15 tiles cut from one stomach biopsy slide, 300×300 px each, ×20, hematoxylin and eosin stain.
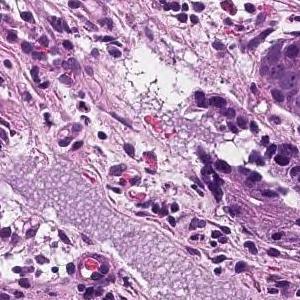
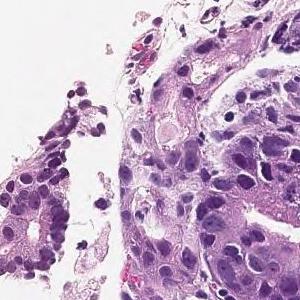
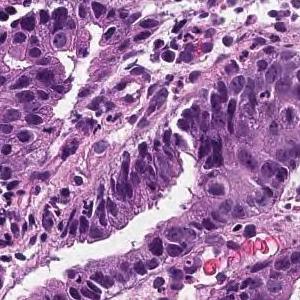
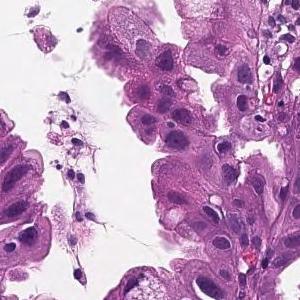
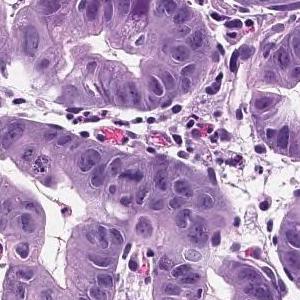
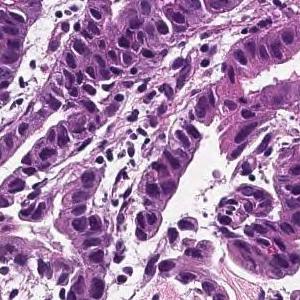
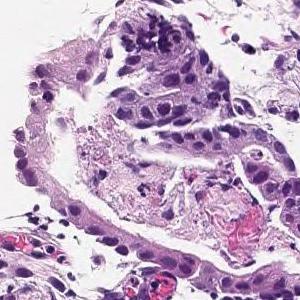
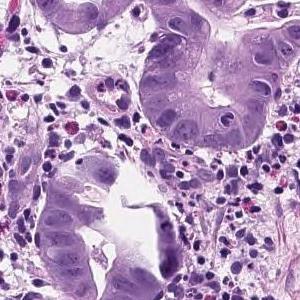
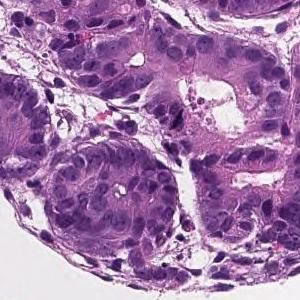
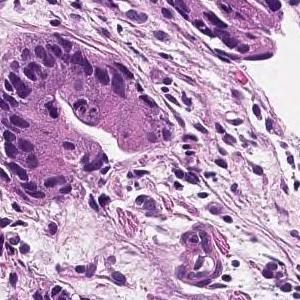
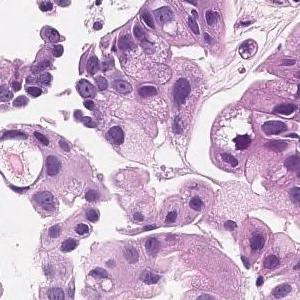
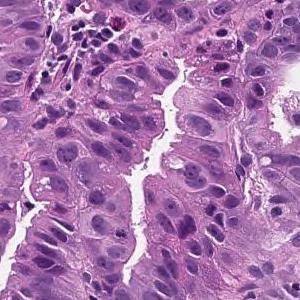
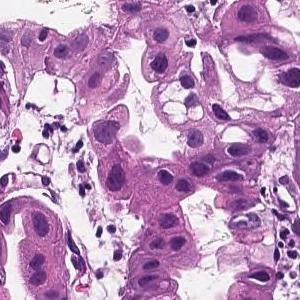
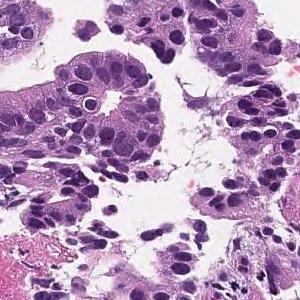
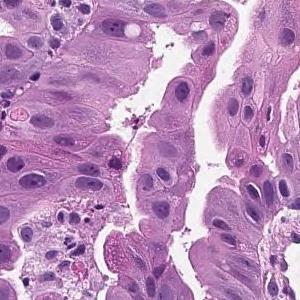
Pathology report for the biopsy slide these tiles were cut from. The report describes the whole slide, diagnosis included: not every finding it names need appear in these tiles, which may also show non-tumor tissue.
On the superficial epithelium, tumor tissue that infiltrates by forming medium-sized papillary or small irregular ducts is observed. Papillary adenocarcinoma
